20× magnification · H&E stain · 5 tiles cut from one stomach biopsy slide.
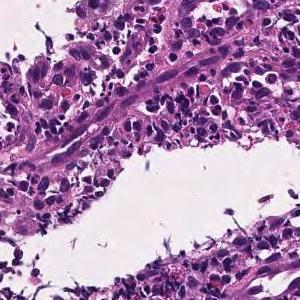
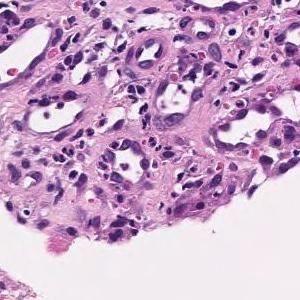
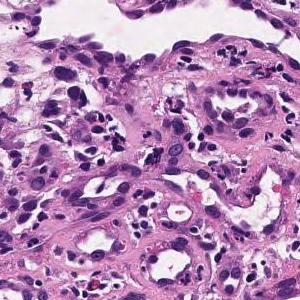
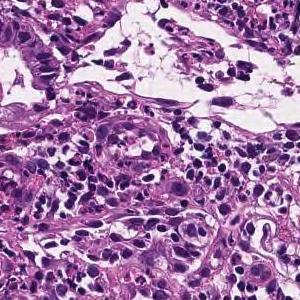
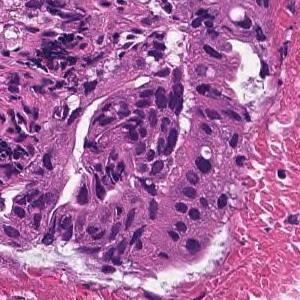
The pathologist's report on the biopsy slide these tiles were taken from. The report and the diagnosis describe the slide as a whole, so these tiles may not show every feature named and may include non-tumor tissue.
In the superficial epithelium, tumor tissue that invades by forming medium-sized to small, irregular ducts is observed. moderately differentiated tubular adenocarcinoma.
